4 patches cut from one gastric biopsy slide; 300 × 300 pixels each; scanned at ×20.
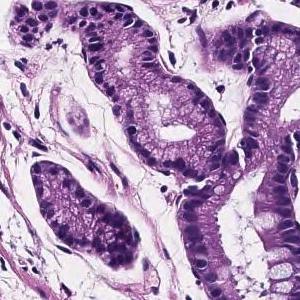
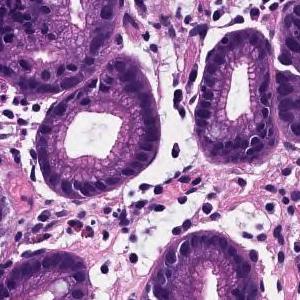
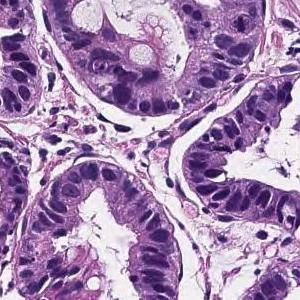
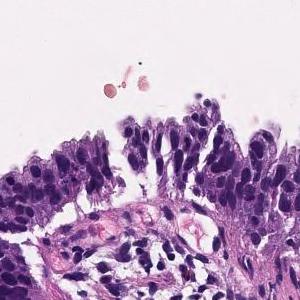
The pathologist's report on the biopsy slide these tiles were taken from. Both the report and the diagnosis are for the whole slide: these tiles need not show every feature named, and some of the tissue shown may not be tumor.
Tumor cells are large, highly columnar, large club-shaped nuclei, and are associated with chromatin aggregation. Papillary adenocarcinoma.
